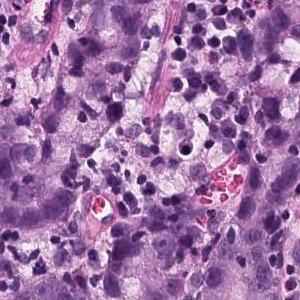
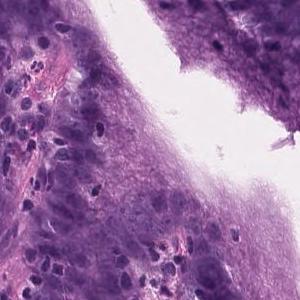
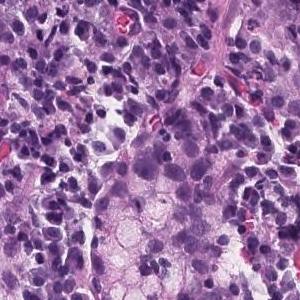
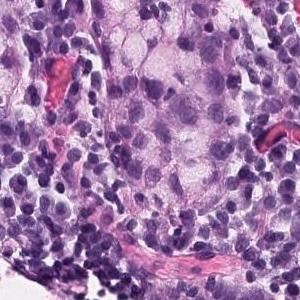
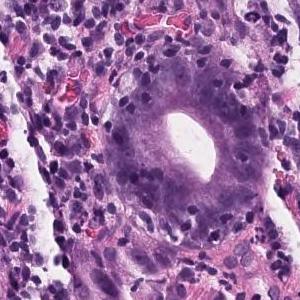
Scanned at ×20, H&E, 5 patches cut from one gastric biopsy slide.
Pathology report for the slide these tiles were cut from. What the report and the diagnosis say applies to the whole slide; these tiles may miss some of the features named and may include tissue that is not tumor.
In the superficial epithelium, tumor tissue that invades by forming medium-sized to small, irregular ducts is observed. Moderately differentiated adenocarcinoma.
Histologic type: Moderately differentiated tubular adenocarcinoma.
